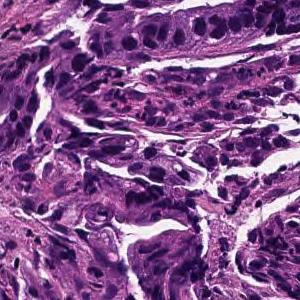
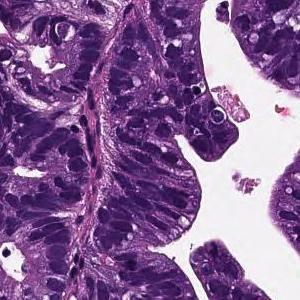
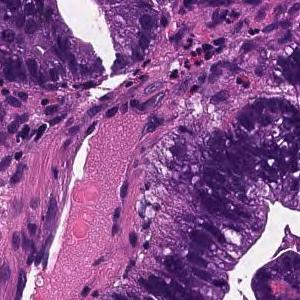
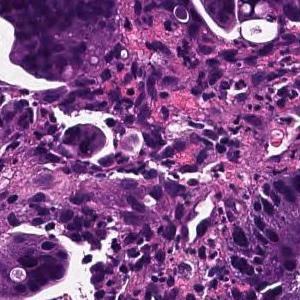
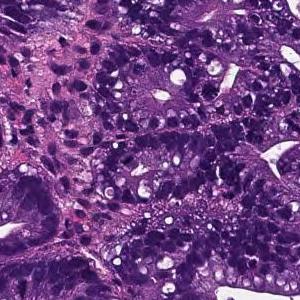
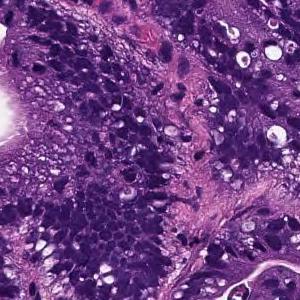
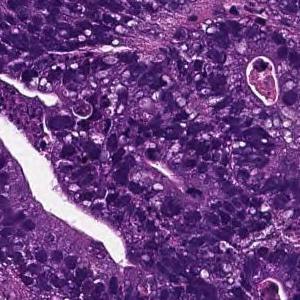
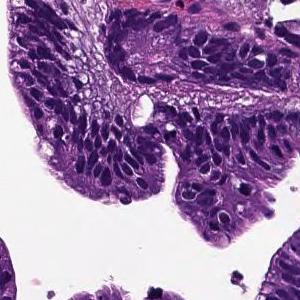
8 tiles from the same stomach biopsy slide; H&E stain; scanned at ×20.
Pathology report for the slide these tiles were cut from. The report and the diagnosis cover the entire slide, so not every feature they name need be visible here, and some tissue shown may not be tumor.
Tumor cells are large, highly columnar, large club-shaped nuclei, and are associated with chromatin aggregation. Papillary adenocarcinoma.
